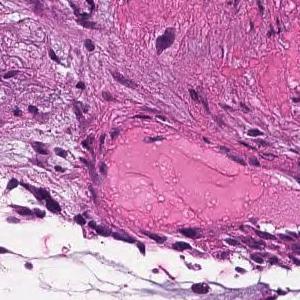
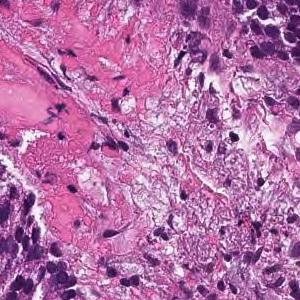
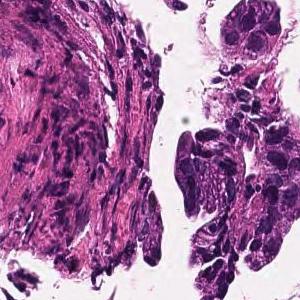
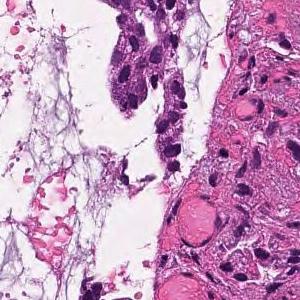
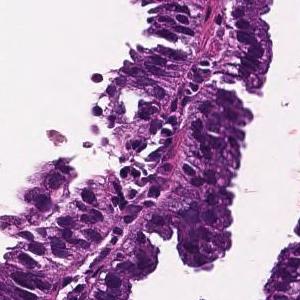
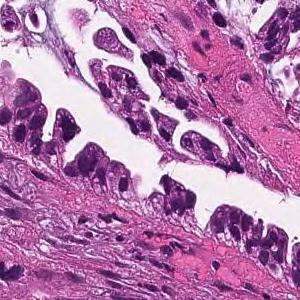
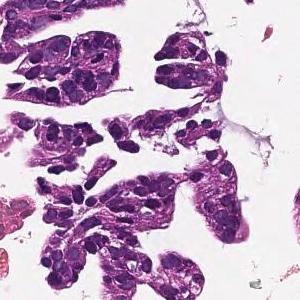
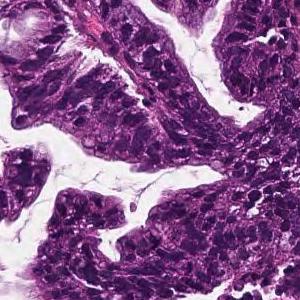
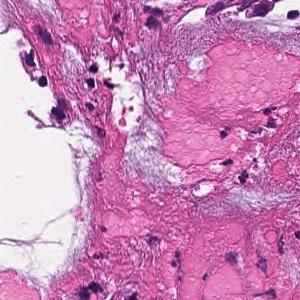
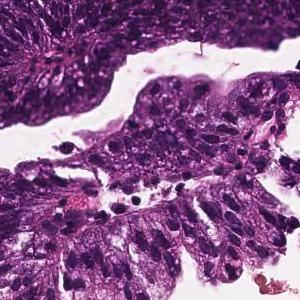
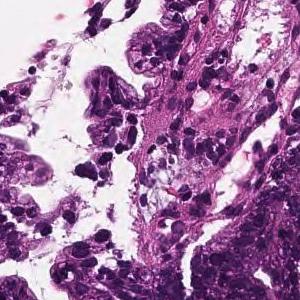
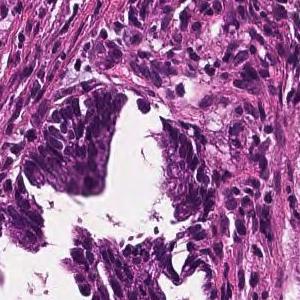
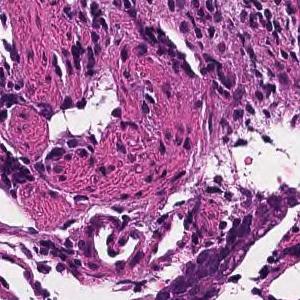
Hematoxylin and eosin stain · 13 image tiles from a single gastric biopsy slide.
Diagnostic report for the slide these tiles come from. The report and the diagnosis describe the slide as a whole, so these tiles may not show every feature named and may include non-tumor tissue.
Tumor cells are large, highly columnar, large club-shaped nuclei, and are associated with chromatin aggregation. Papillary adenocarcinoma.
